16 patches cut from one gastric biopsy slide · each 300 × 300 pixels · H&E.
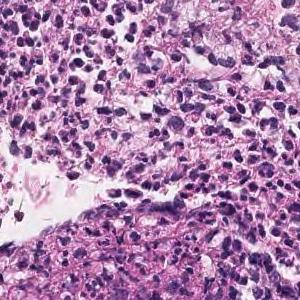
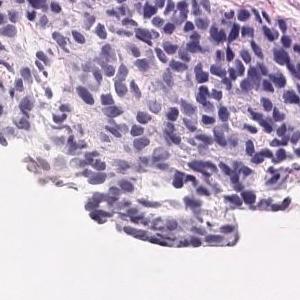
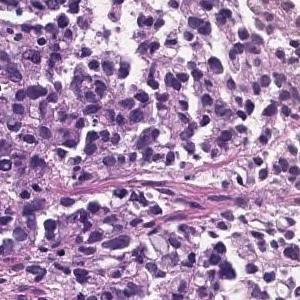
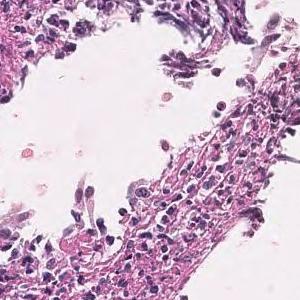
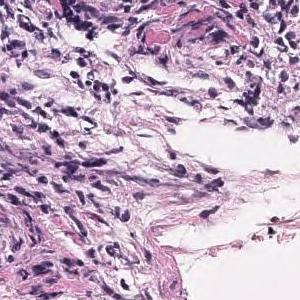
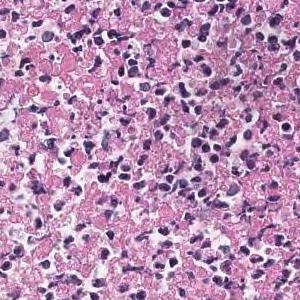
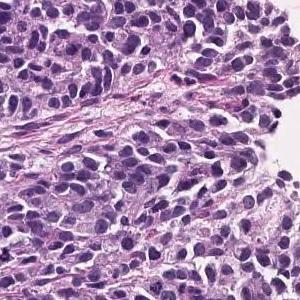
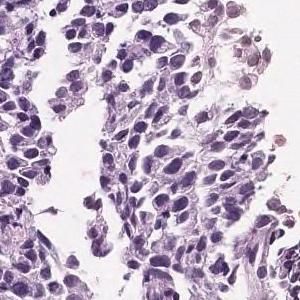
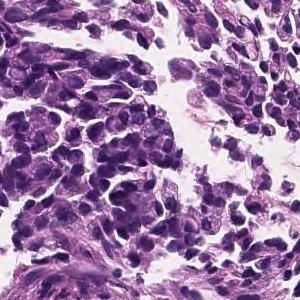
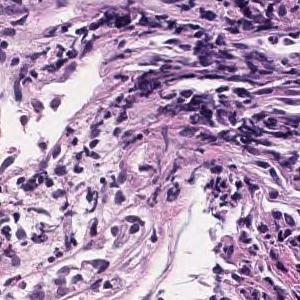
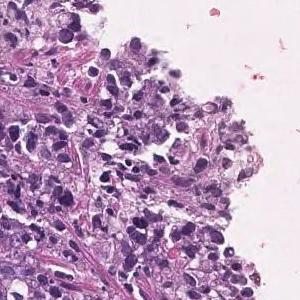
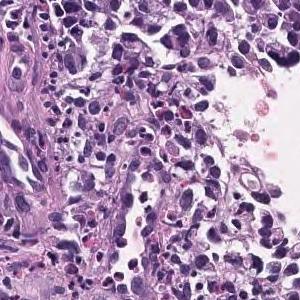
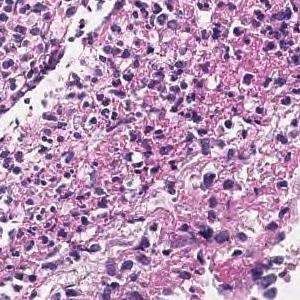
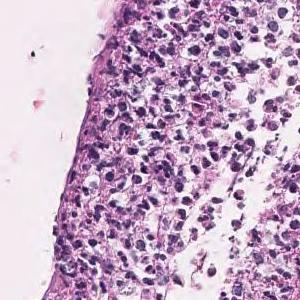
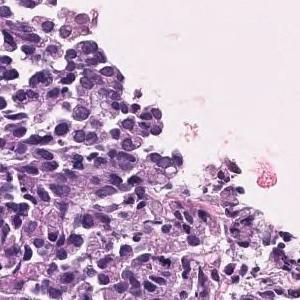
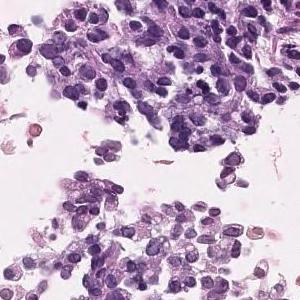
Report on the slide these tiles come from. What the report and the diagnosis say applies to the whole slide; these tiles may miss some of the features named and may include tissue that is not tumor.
The superficial epithelium shows a large sheet-like shape, and some tumor tissue infiltrates with small irregular ducts. Poorly differentiated adenocarcinoma, solid-type
Histologic type: Poorly differentiated adenocarcinoma, solid type. This name comes from the Japanese Classification of Gastric Carcinoma; the WHO 2019 classification calls it tubular adenocarcinoma, poorly differentiated.
